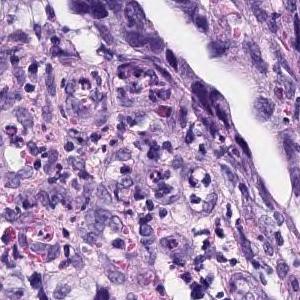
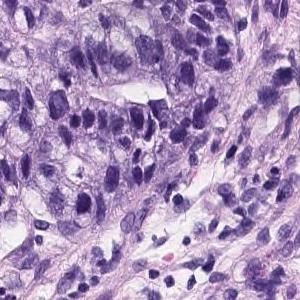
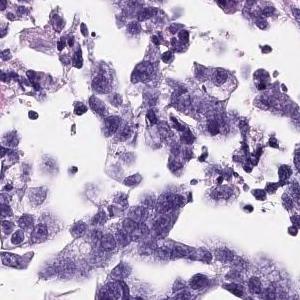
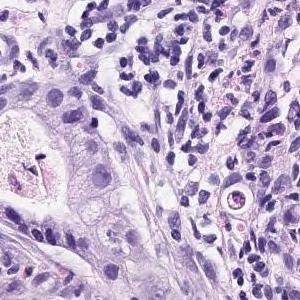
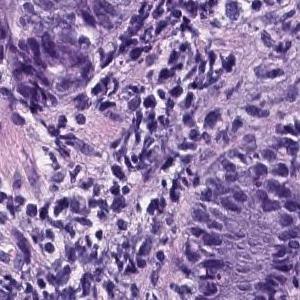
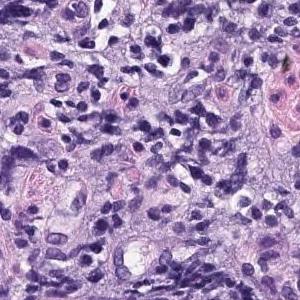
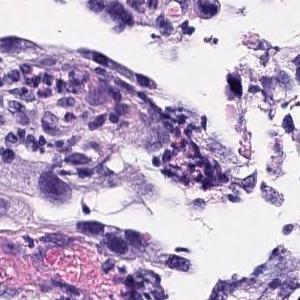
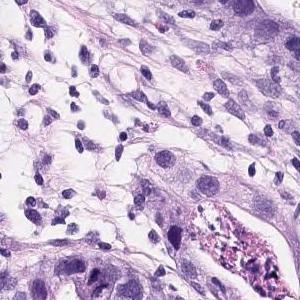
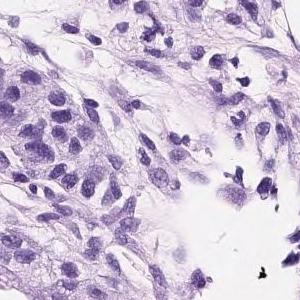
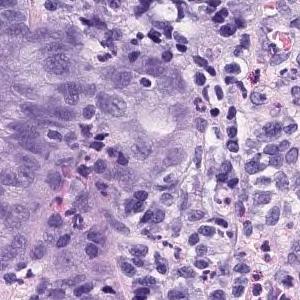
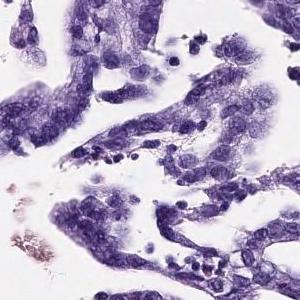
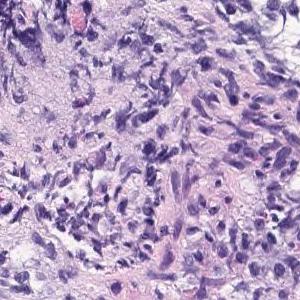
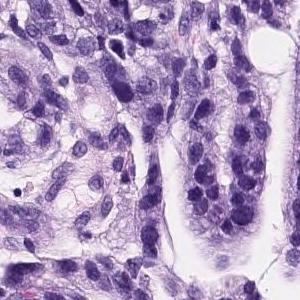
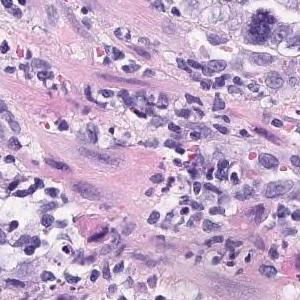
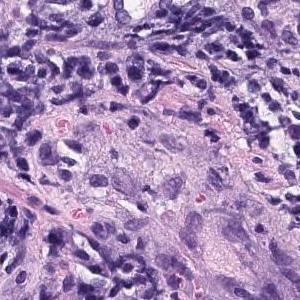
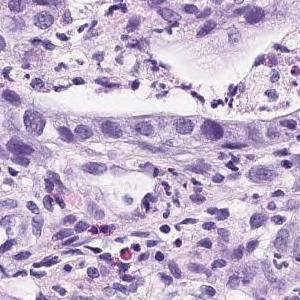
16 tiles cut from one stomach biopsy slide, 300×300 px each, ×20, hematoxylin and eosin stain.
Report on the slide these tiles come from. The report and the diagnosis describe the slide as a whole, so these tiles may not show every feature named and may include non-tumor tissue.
On the superficial epithelium, tumor tissue consisting of medium to small irregular tubules partially fused and proliferated is observed. moderately differentiated tubular adenocarcinoma
